20× magnification · hematoxylin and eosin stain · 5 tiles cut from one stomach biopsy slide · each 300 × 300 pixels.
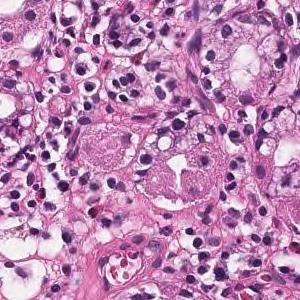
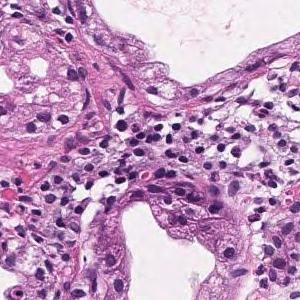
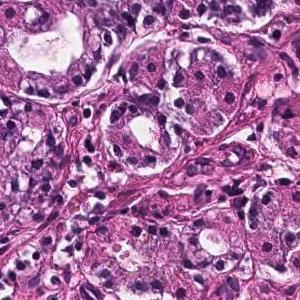
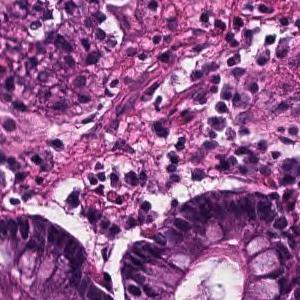
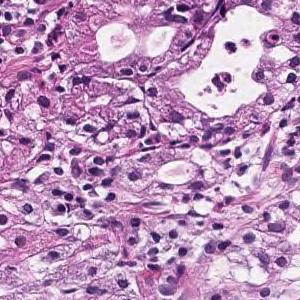
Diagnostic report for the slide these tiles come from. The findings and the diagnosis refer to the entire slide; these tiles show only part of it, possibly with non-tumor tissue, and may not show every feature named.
Tumor tissue in which medium to small irregular ducts infiltrate and proliferate in the submucosa can be seen in the epithelium. Well differentiated tubular adenocarcinoma
